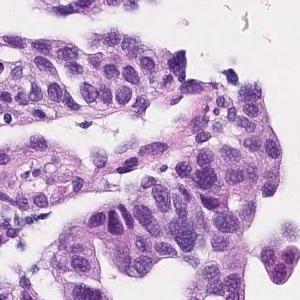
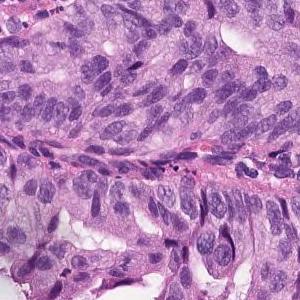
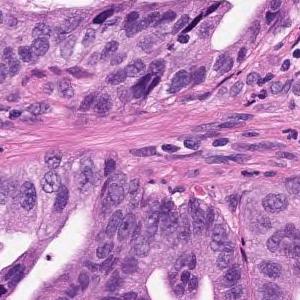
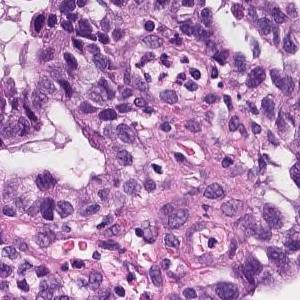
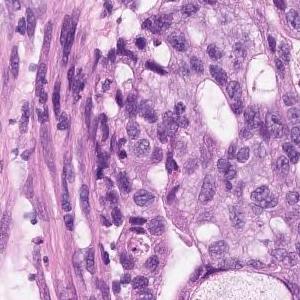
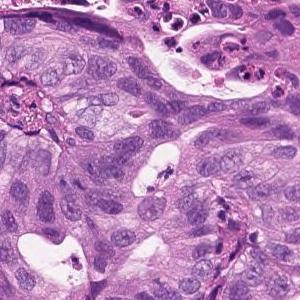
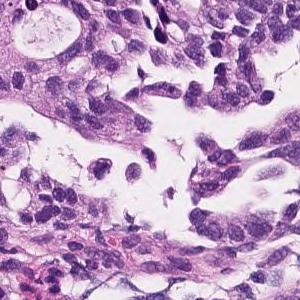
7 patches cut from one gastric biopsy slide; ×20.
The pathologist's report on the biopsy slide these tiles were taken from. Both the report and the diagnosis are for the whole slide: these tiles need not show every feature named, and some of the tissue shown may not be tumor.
Atypical epithelium forming papillary or sieving ducts and infiltrating growth is observed. Papillary adenocarcinoma.
